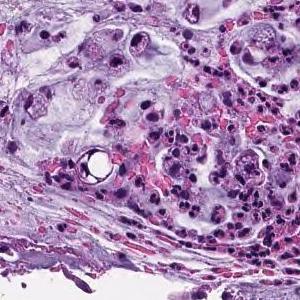
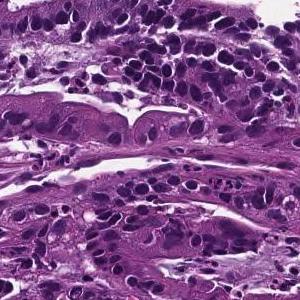
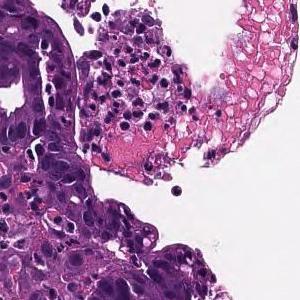
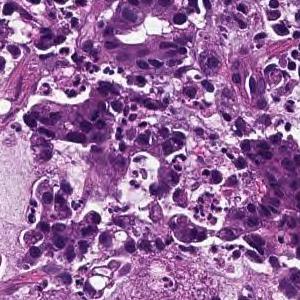
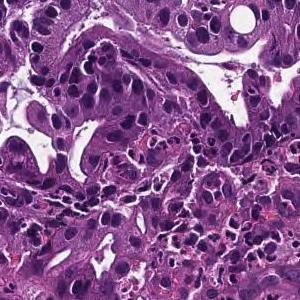
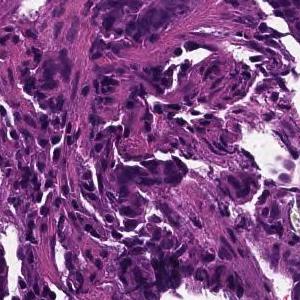
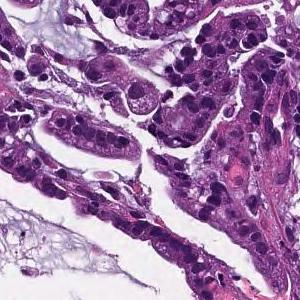
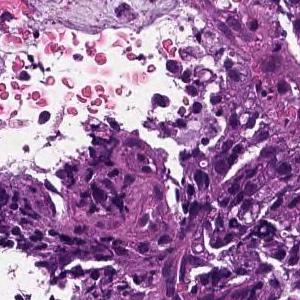
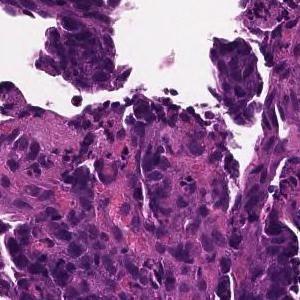
9 image tiles from a single gastric biopsy slide · 20× magnification · H&E stain.
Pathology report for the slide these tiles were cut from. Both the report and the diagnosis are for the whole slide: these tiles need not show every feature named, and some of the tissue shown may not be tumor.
On the superficial epithelium, tumor tissue consisting of large irregular glandular ducts partially fused and infiltrated is observed. Well to moderately differentiated tubular adenocarcinoma (well differentiated tubular adenocarcinoma, moderately differentiated tubular adenocarcinoma)
Classified as well to moderately differentiated tubular adenocarcinoma.
